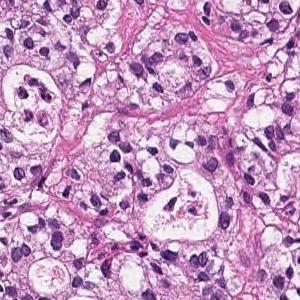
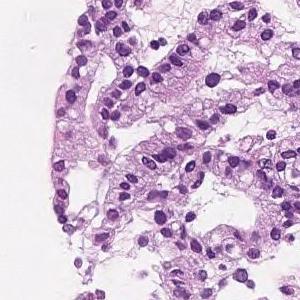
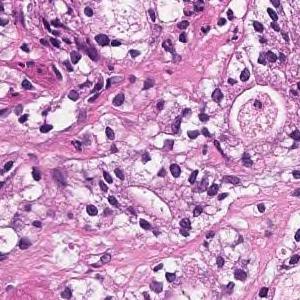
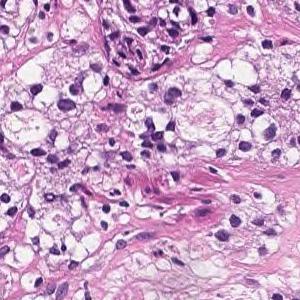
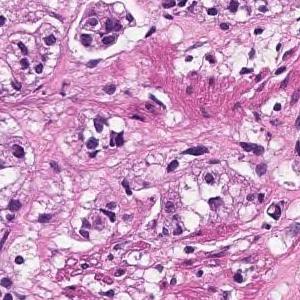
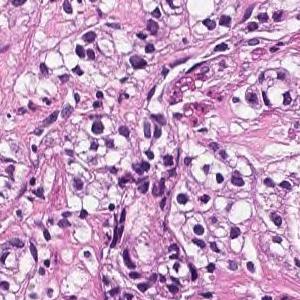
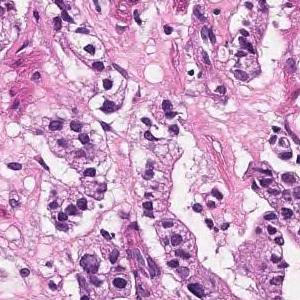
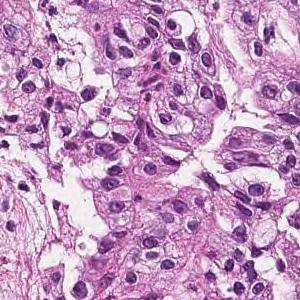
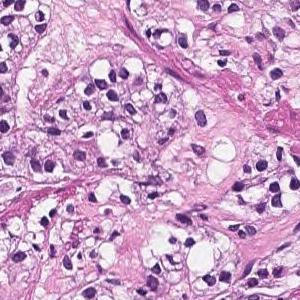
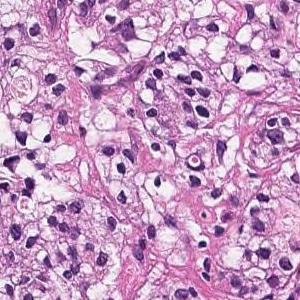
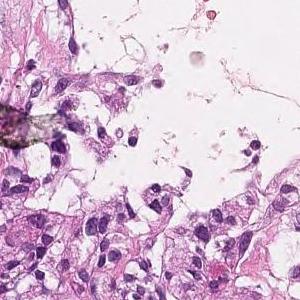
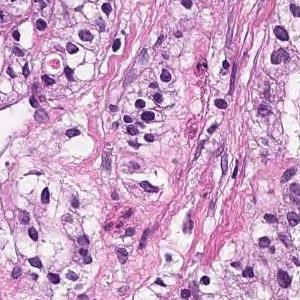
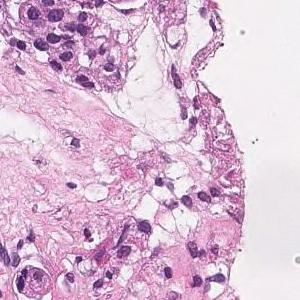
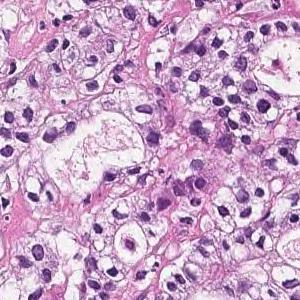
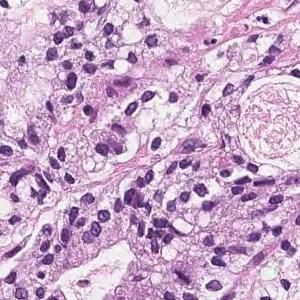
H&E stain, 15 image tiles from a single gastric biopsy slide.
Report on the slide these tiles come from. The report and the diagnosis cover the entire slide, so not every feature they name need be visible here, and some tissue shown may not be tumor.
In the superficial epithelium, tumor tissue that invades by forming medium-sized to small, irregular ducts is observed. moderately differentiated tubular adenocarcinoma.
